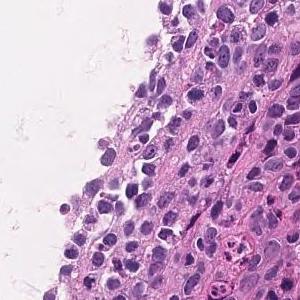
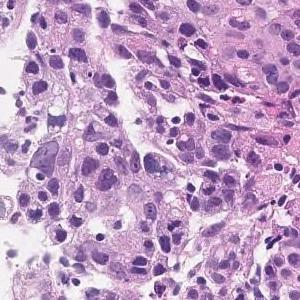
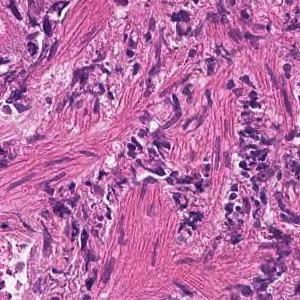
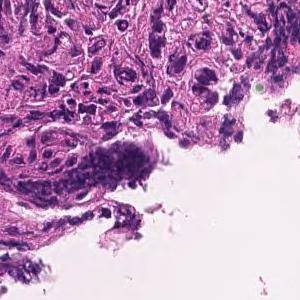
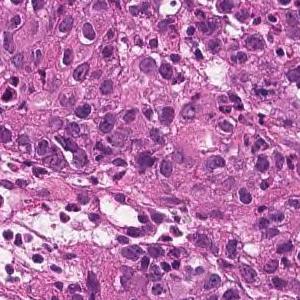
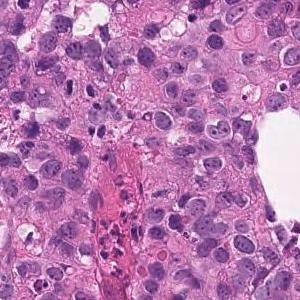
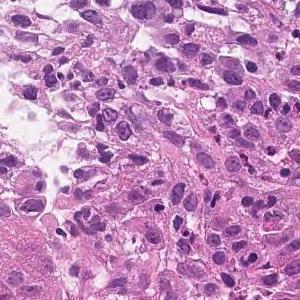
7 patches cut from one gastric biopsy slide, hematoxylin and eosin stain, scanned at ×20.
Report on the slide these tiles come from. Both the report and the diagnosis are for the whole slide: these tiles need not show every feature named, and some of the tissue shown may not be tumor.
The superficial epithelium shows a large sheet-like shape, and some tumor tissue infiltrates with small irregular ducts. Poorly differentiated adenocarcinoma, solid-type
Histologic type: Poorly differentiated adenocarcinoma, solid type, a category of the Japanese Classification of Gastric Carcinoma; in the WHO 2019 classification it is tubular adenocarcinoma, poorly differentiated.
